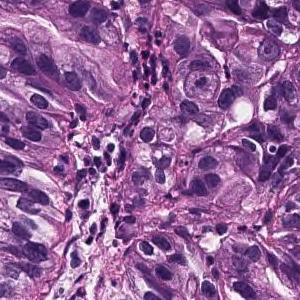
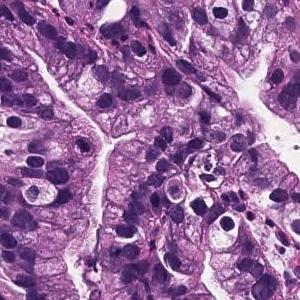
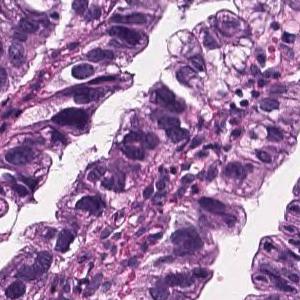
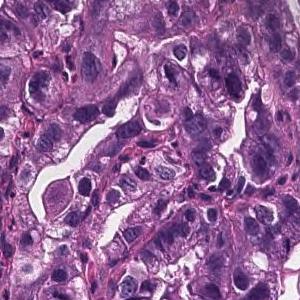
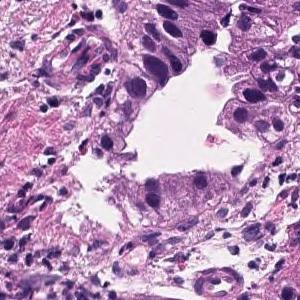
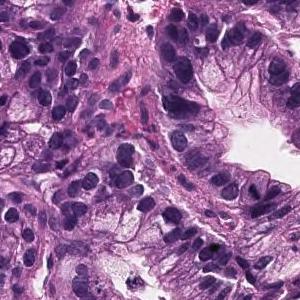
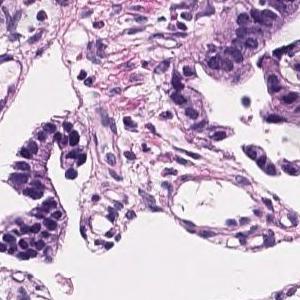
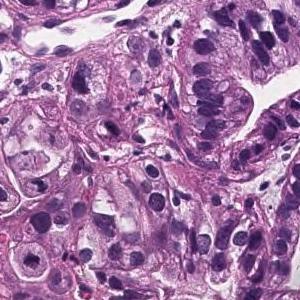
8 tiles cut from one stomach biopsy slide · each 300 × 300 pixels.
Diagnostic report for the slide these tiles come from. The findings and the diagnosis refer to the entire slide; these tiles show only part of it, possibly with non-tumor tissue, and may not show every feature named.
Tumor cells are large, highly columnar, large club-shaped nuclei, and are associated with chromatin aggregation. Papillary adenocarcinoma.
